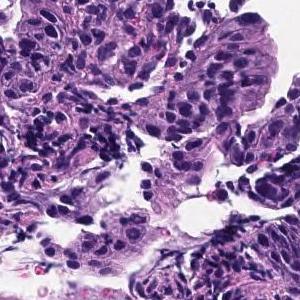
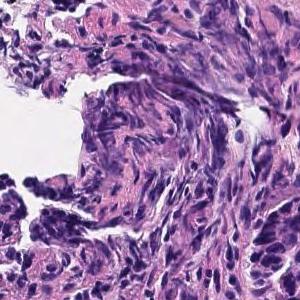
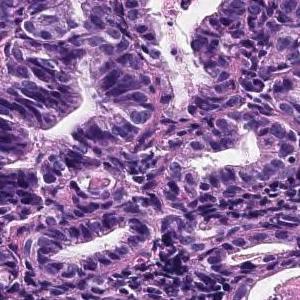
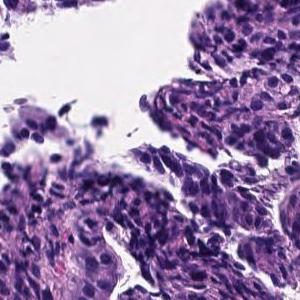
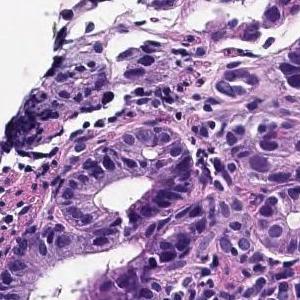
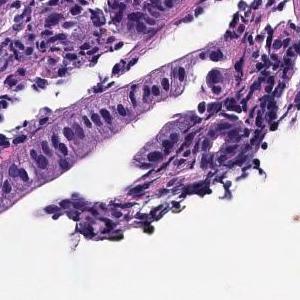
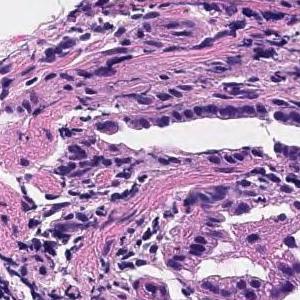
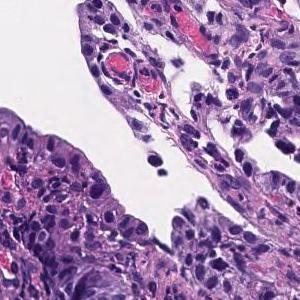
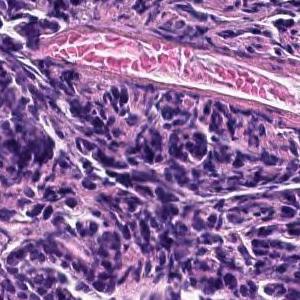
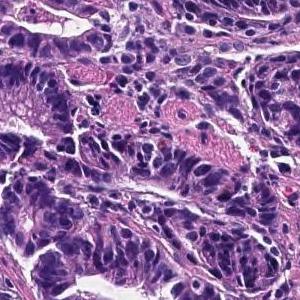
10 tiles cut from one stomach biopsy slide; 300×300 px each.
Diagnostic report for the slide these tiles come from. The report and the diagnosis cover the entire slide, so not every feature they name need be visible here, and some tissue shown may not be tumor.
The superficial tumors shows large papillary structures or large and small ducts and infiltrates. Papillary adenocarcinoma.
